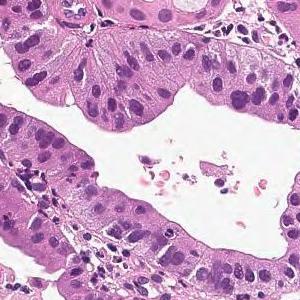
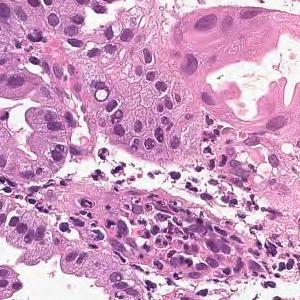
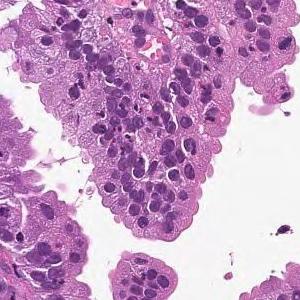
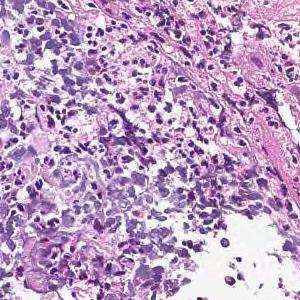
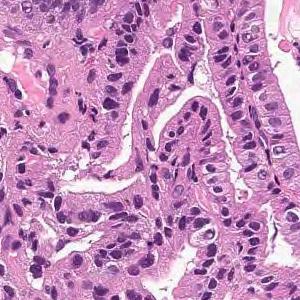
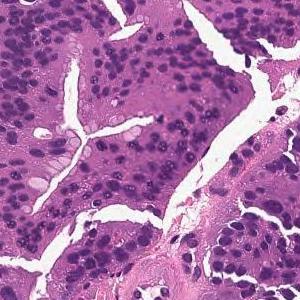
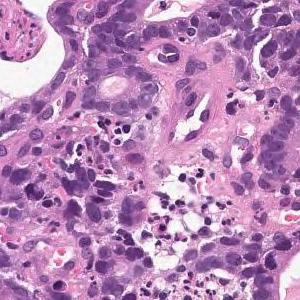
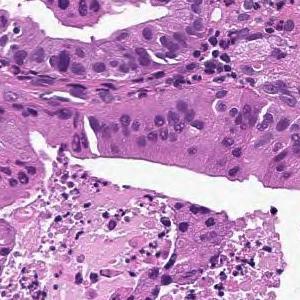
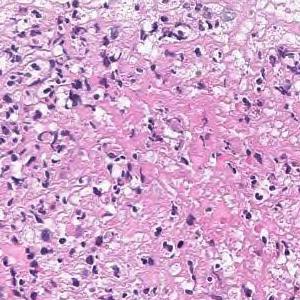
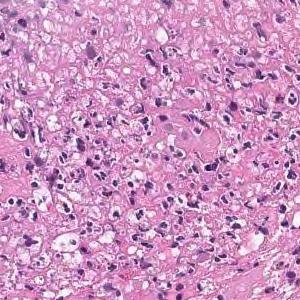
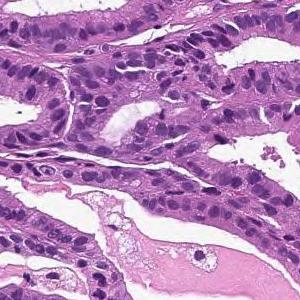
11 tiles cut from one stomach biopsy slide, 300×300 px each, H&E stain, 20× magnification.
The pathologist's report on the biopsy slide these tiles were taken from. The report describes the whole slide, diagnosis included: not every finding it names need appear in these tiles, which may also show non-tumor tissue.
From the superficial epithelium to the muscularis mucosae, tumor tissue consisting of medium-sized and irregular glandular ducts infiltrating is observed. Well differentiated tubular adenocarcinoma
